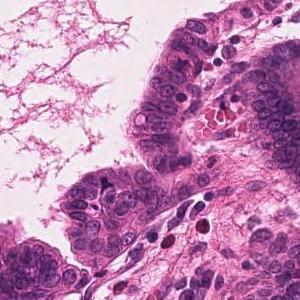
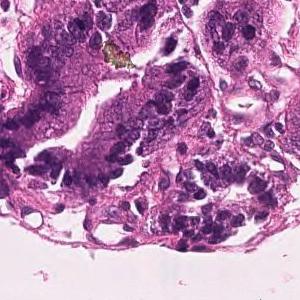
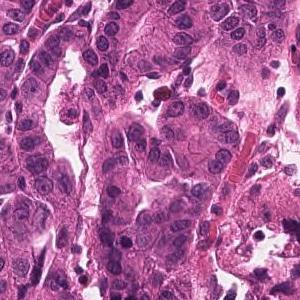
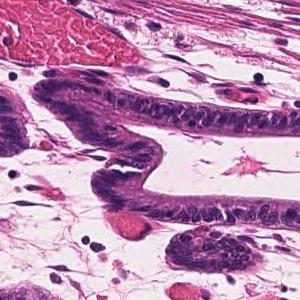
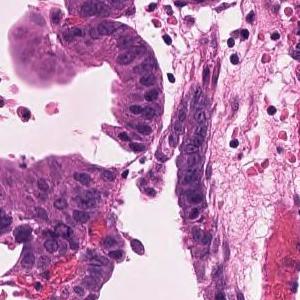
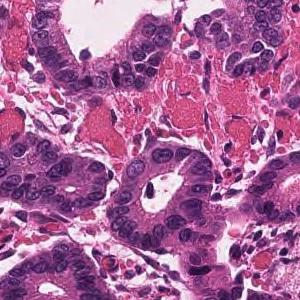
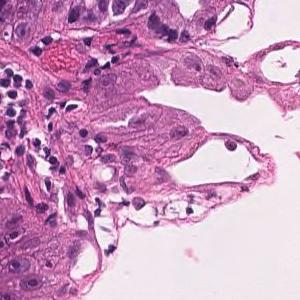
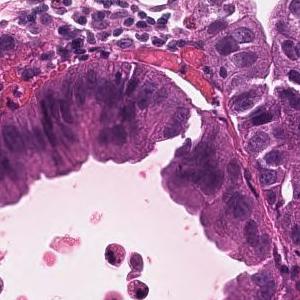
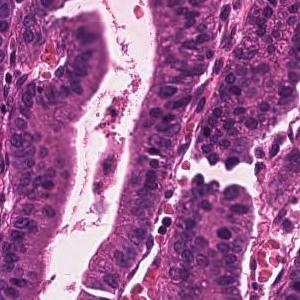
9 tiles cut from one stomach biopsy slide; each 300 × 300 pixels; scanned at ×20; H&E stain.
The pathologist's report on the biopsy slide these tiles were taken from. The findings and the diagnosis refer to the entire slide; these tiles show only part of it, possibly with non-tumor tissue, and may not show every feature named.
Infiltrating tumor tissue with medium-sized, irregular ductal structure or large papillary appearance is observed. Well differentiated tubular adenocarcinoma
